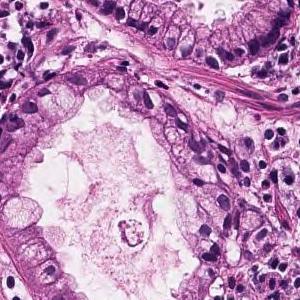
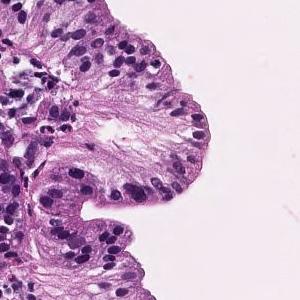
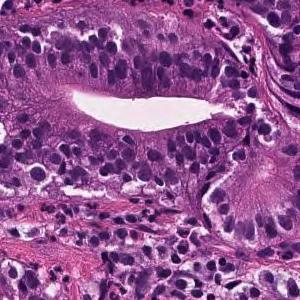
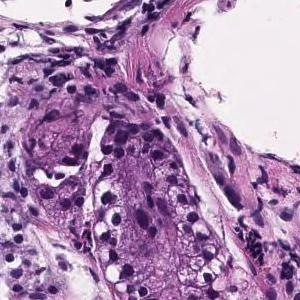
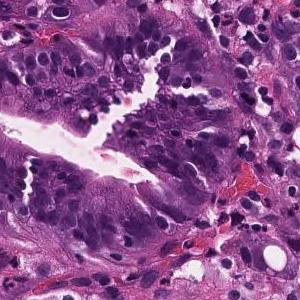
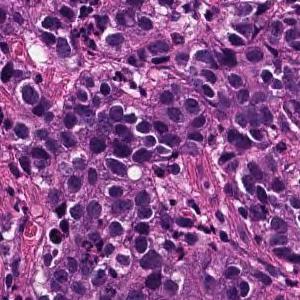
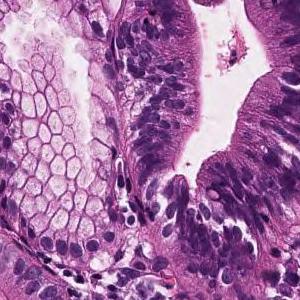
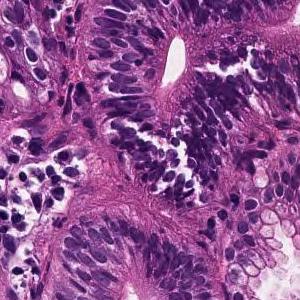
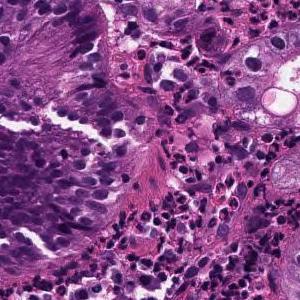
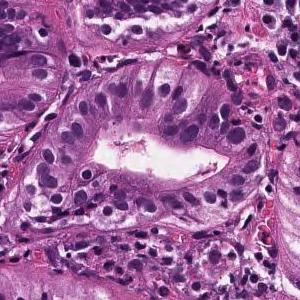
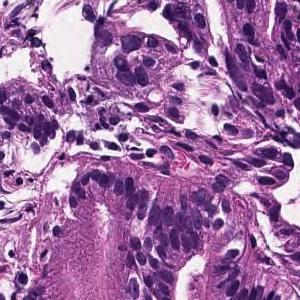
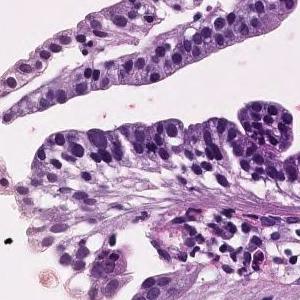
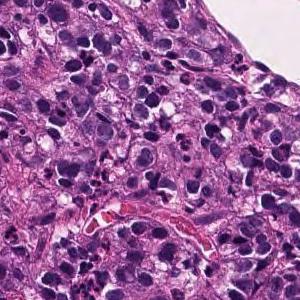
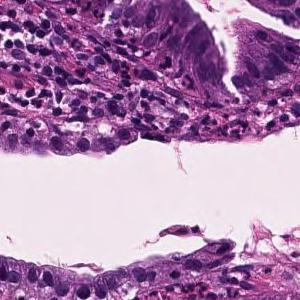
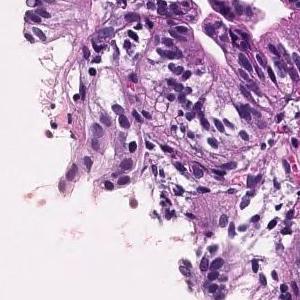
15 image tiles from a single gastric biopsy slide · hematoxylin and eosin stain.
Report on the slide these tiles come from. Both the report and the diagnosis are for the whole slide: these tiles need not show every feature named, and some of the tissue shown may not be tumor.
In the superficial epithelium, tumor tissue that invades by forming medium-sized to small, irregular ducts is observed. moderately differentiated tubular adenocarcinoma.
